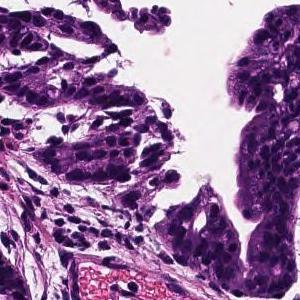
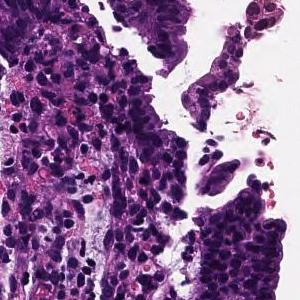
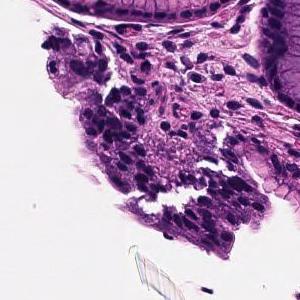
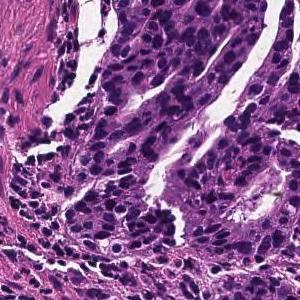
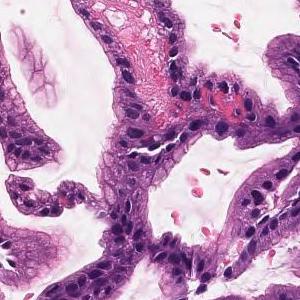
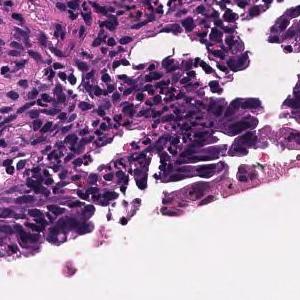
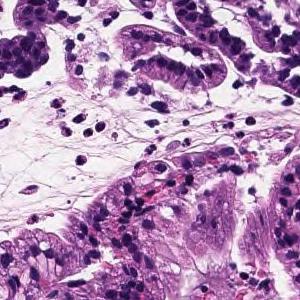
H&E; 7 patches cut from one gastric biopsy slide; 300×300 px each.
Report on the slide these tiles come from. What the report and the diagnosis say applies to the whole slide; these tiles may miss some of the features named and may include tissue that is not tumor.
On the superficial epithelium, tumor tissue that infiltrates by forming medium-sized papillary or small irregular ducts is observed. Papillary adenocarcinoma
